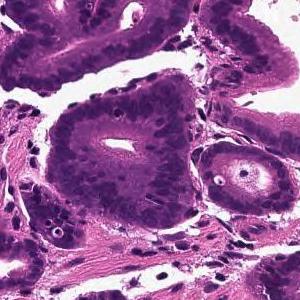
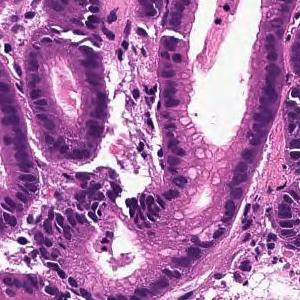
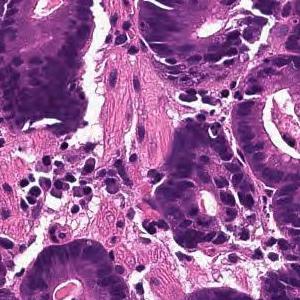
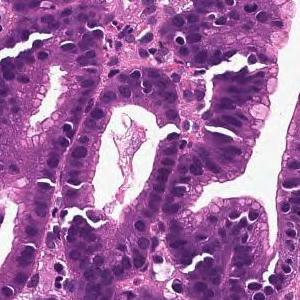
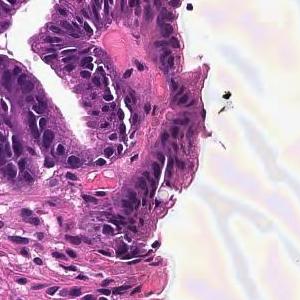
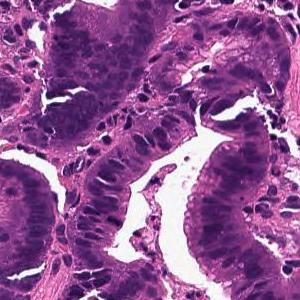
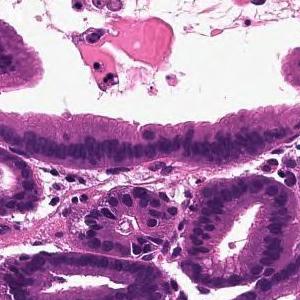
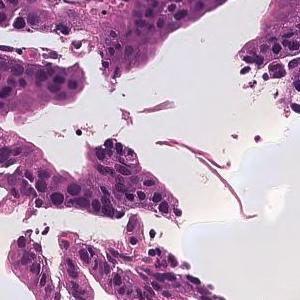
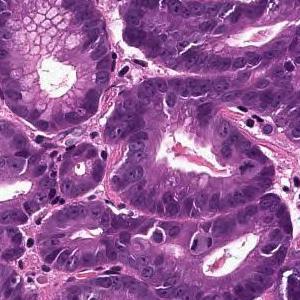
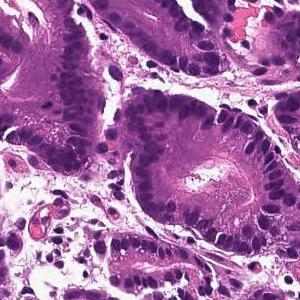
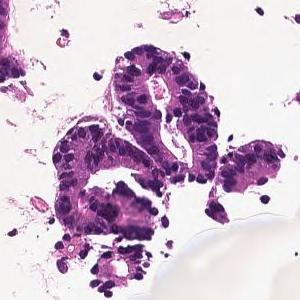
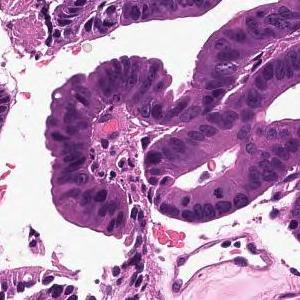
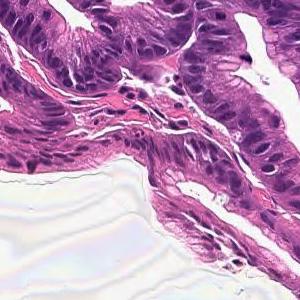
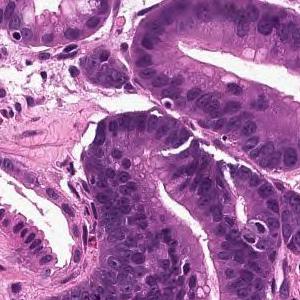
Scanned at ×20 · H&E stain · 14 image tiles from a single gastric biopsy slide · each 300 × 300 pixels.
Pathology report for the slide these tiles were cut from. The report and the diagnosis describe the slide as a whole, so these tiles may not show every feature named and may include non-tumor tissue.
From the superficial epithelium to the muscularis mucosae, tumor tissue consisting of medium-sized and irregular glandular ducts infiltrating is observed. Well differentiated tubular adenocarcinoma
